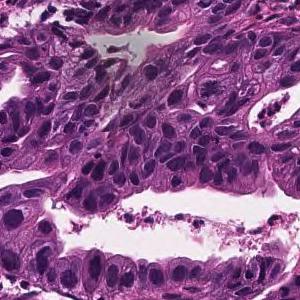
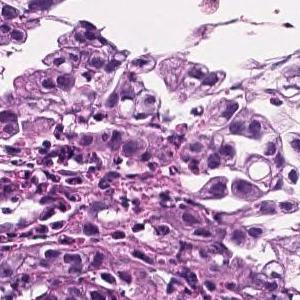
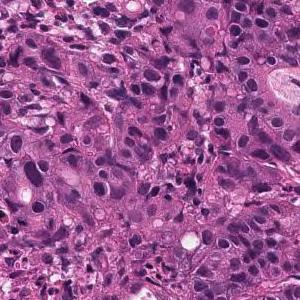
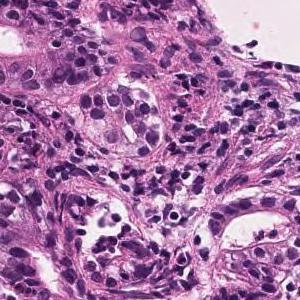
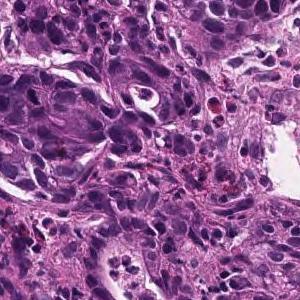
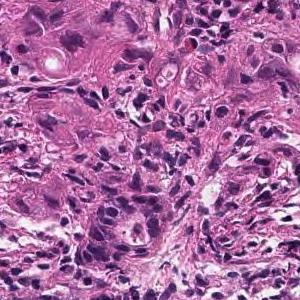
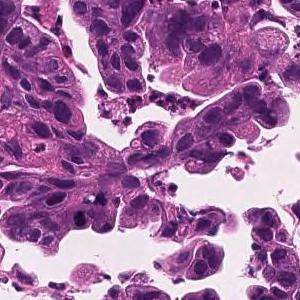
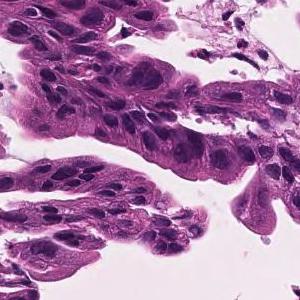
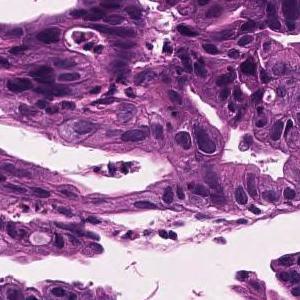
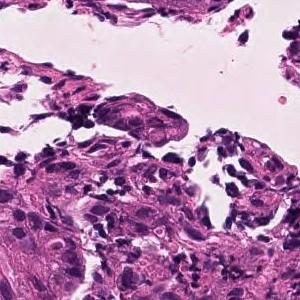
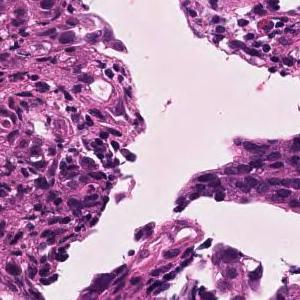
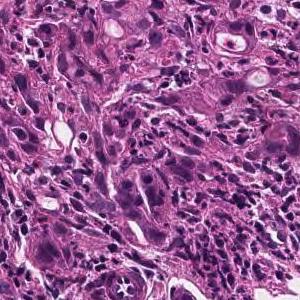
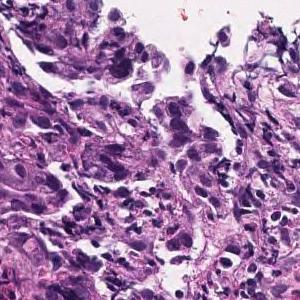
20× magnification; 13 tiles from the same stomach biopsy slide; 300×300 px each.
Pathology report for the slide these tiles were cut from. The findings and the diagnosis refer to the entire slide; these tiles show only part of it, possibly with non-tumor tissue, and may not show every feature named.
Tumor tissue consisting of medium-sized, cord-like or irregular glandular infiltration is observed in the superficial epithelium. Poorly differentiated adenocarcinoma, non-solid type or moderately differentiated tubular adenocarcinoma
The non-solid type named here is a Japanese Classification of Gastric Carcinoma category.
